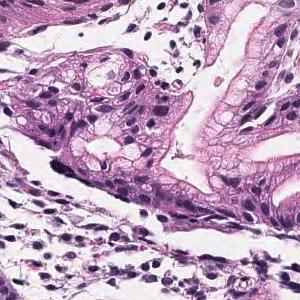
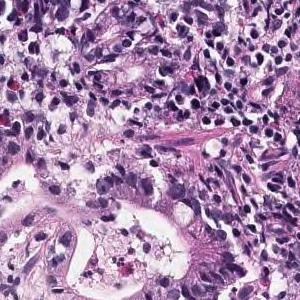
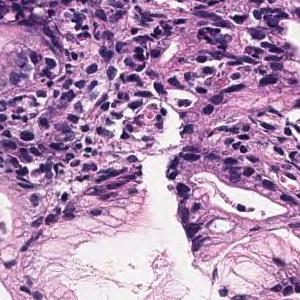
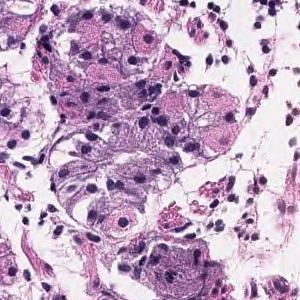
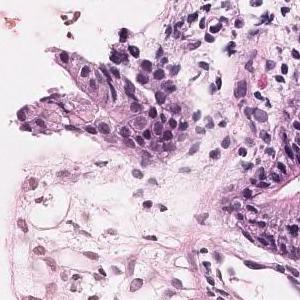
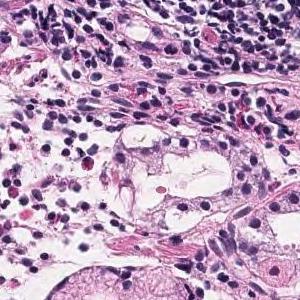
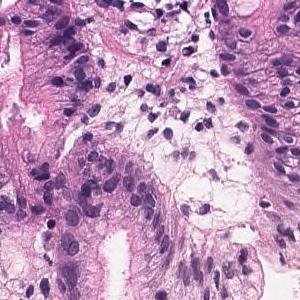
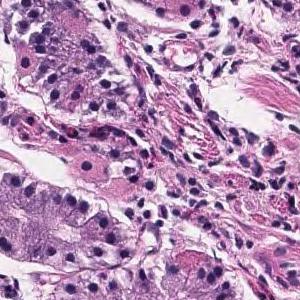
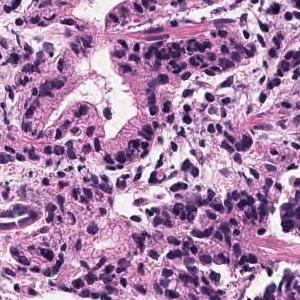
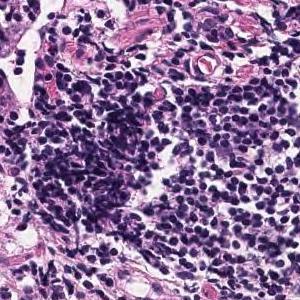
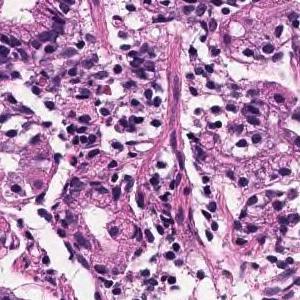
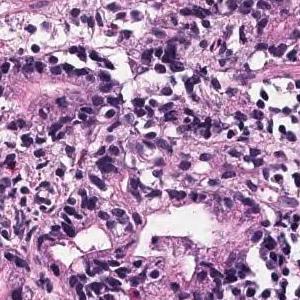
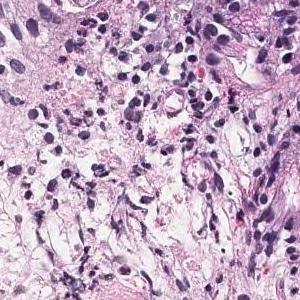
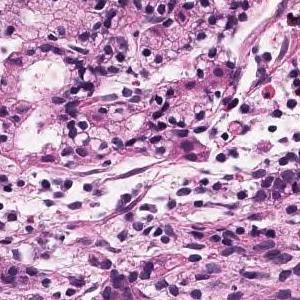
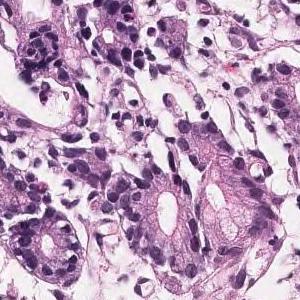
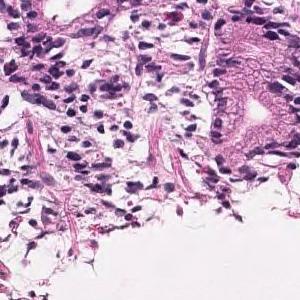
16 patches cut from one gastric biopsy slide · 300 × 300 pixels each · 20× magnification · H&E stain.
Pathology report for the biopsy slide these tiles were cut from. The report and the diagnosis describe the slide as a whole, so these tiles may not show every feature named and may include non-tumor tissue.
Tumor tissue that grows and grows is observed, showing a medium-sized round or irregular duct. moderately differentiated tubular adenocarcinoma
